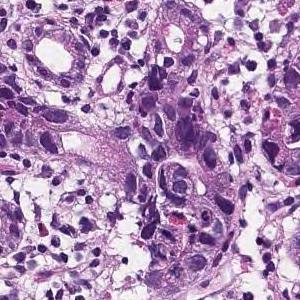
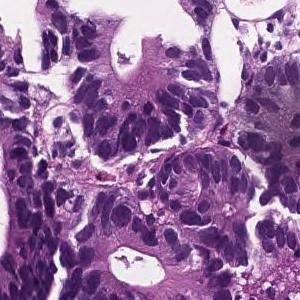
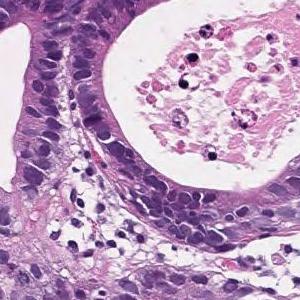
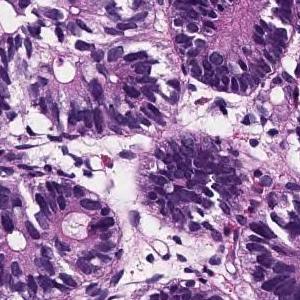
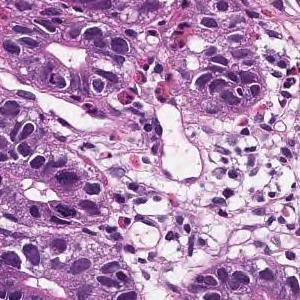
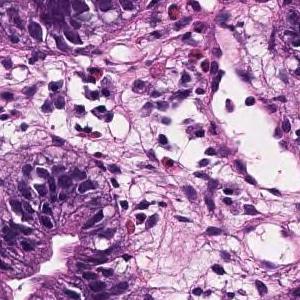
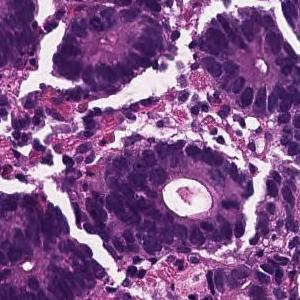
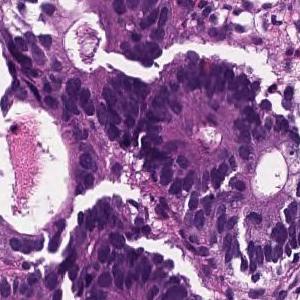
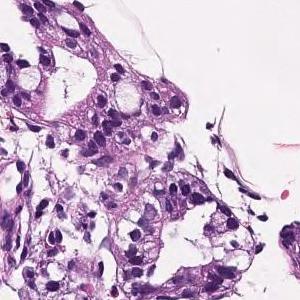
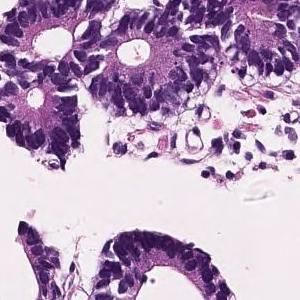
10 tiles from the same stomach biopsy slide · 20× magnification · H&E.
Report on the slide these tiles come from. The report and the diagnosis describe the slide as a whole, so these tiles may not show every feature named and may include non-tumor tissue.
On the superficial epithelium, tumor tissue consisting of large, irregular glandular ducts partially fused and infiltrated is observed. Well to moderately differentiated tubular adenocarcinoma (well differentiated tubular adenocarcinoma, moderately differentiated tubular adenocarcinoma)
Histologic type: Well to moderately differentiated tubular adenocarcinoma.
